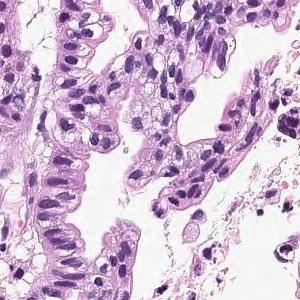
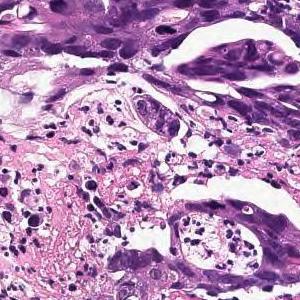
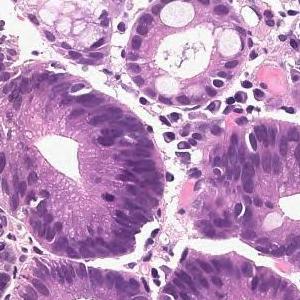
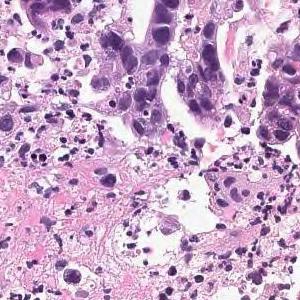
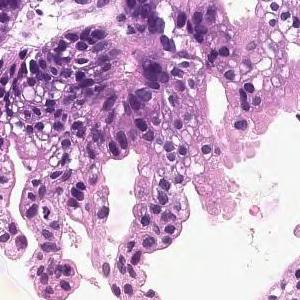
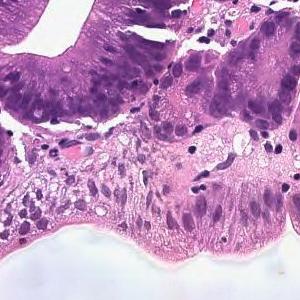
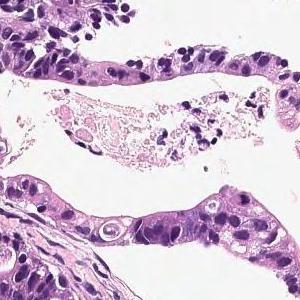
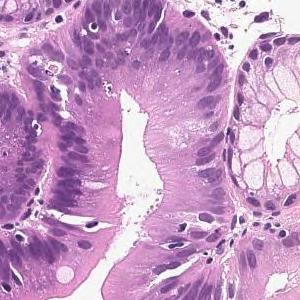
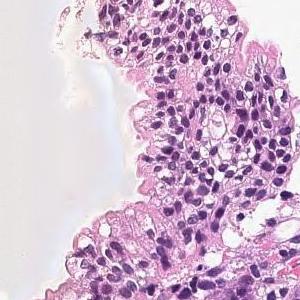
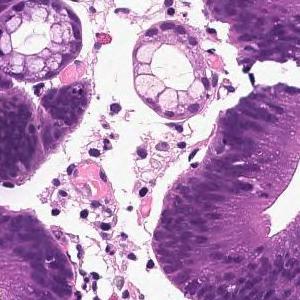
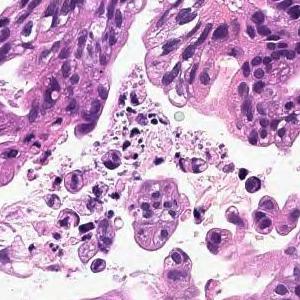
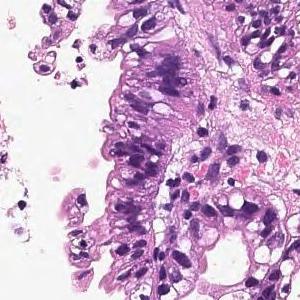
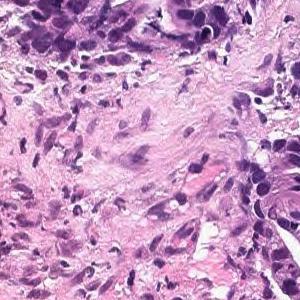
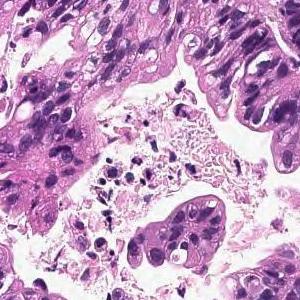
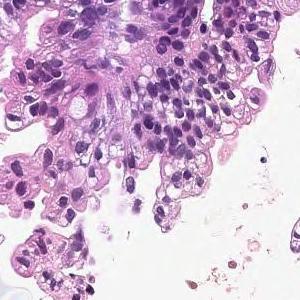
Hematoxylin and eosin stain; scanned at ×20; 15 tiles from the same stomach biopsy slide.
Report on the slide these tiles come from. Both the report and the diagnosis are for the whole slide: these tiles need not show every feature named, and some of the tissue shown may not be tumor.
In the superficial epithelium, tumor tissue that invades by forming medium-sized to small, irregular ducts is observed. moderately differentiated tubular adenocarcinoma.
